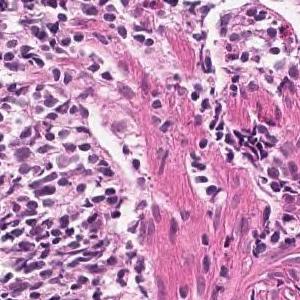
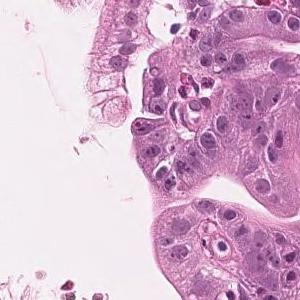
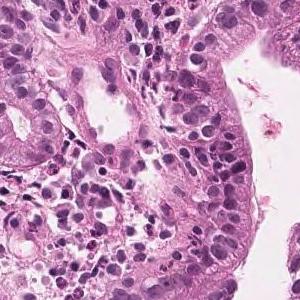
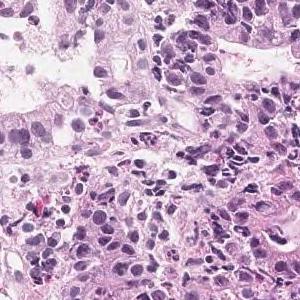
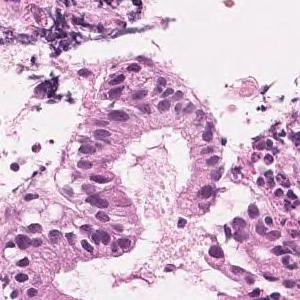
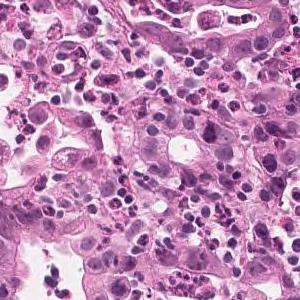
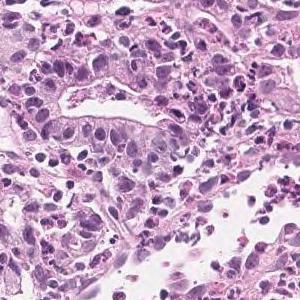
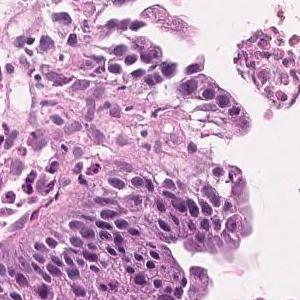
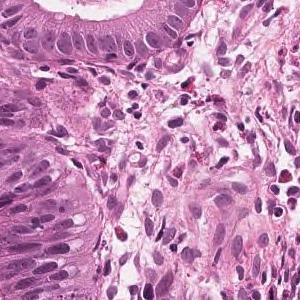
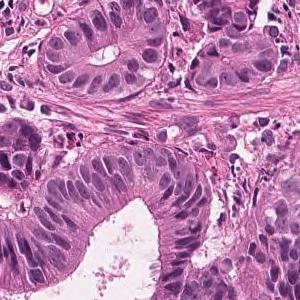
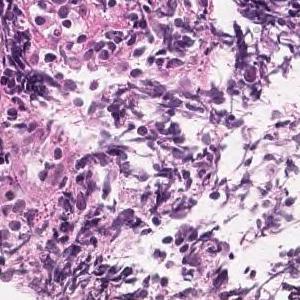
H&E, scanned at ×20, 11 image tiles from a single gastric biopsy slide.
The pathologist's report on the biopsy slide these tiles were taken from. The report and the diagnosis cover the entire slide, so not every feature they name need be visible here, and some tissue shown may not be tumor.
On the superficial epithelium, tumor tissue consisting of large, irregular glandular ducts partially fused and infiltrated is observed. Well to moderately differentiated tubular adenocarcinoma (well differentiated tubular adenocarcinoma, moderately differentiated tubular adenocarcinoma)
Histologic type: Well to moderately differentiated tubular adenocarcinoma.
